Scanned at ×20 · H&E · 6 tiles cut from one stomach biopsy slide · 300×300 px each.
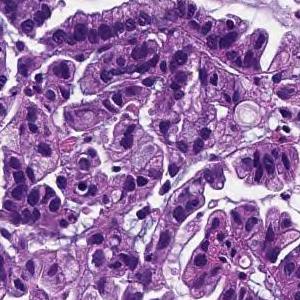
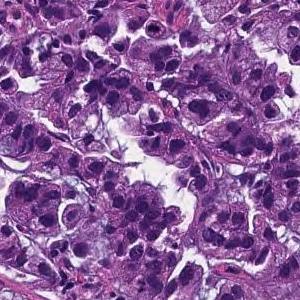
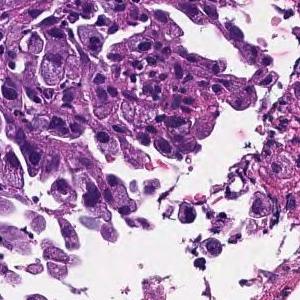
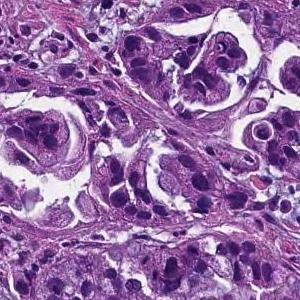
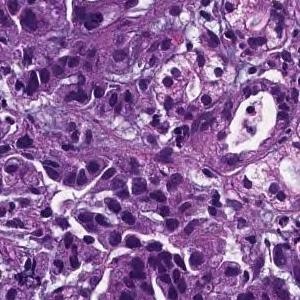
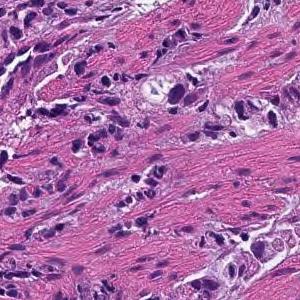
Pathology report for the slide these tiles were cut from. Both the report and the diagnosis are for the whole slide: these tiles need not show every feature named, and some of the tissue shown may not be tumor.
Tumor tissue consisting of medium-sized, cord-like or irregular glandular infiltration is observed in the superficial epithelium. Poorly differentiated adenocarcinoma, non-solid type or moderately differentiated tubular adenocarcinoma
Tumor subtype: moderately to poorly differentiated adenocarcinoma.
The non-solid type named here is a Japanese Classification of Gastric Carcinoma category.
